7 image tiles from a single gastric biopsy slide · 300×300 px each · 20× magnification · H&E.
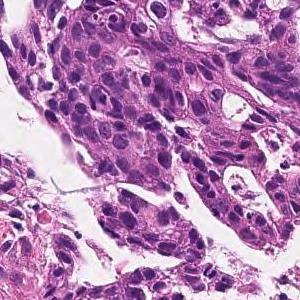
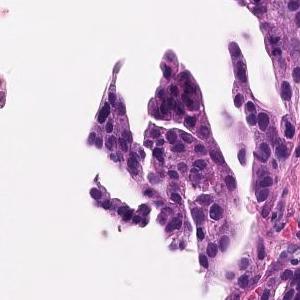
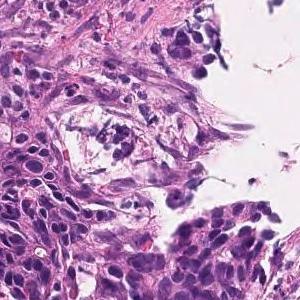
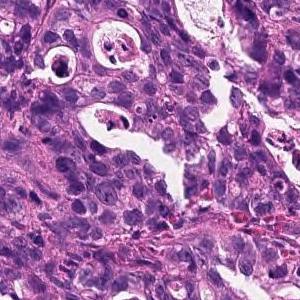
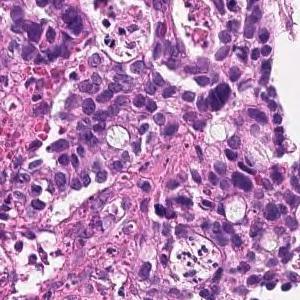
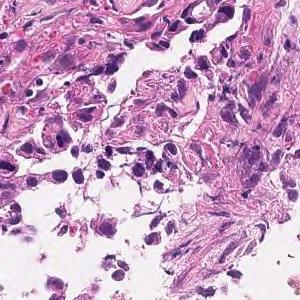
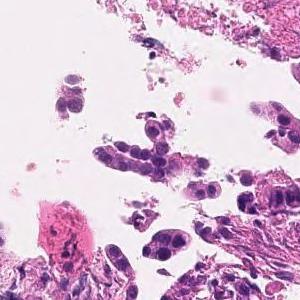
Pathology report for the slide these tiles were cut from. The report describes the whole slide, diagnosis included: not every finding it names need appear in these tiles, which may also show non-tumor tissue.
On the superficial epithelium, tumor tissue consisting of images of small to medium-sized and irregular tubules infiltrating with irregular fusion is observed. moderately differentiated tubular adenocarcinoma
